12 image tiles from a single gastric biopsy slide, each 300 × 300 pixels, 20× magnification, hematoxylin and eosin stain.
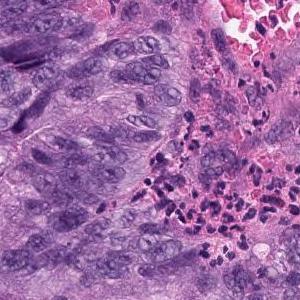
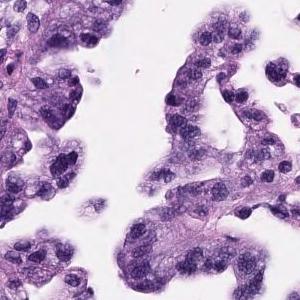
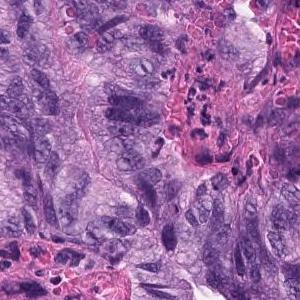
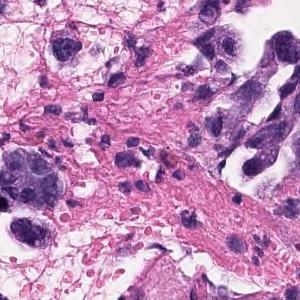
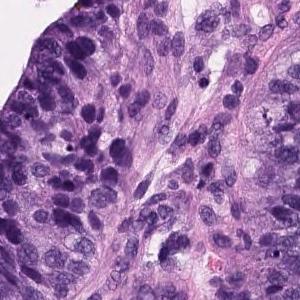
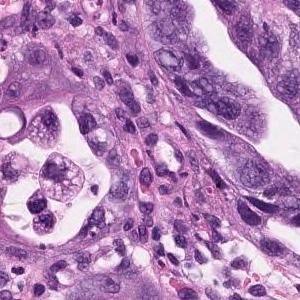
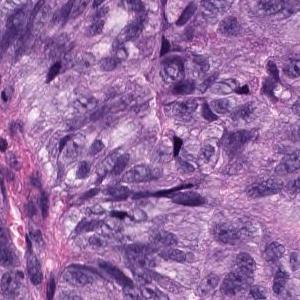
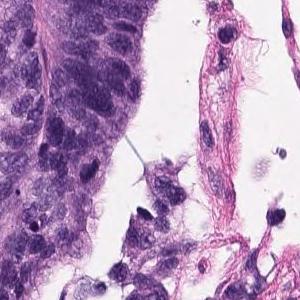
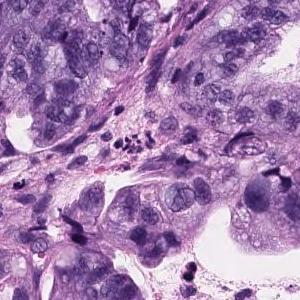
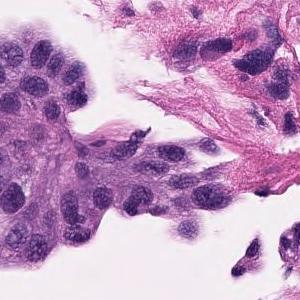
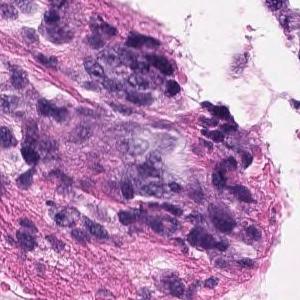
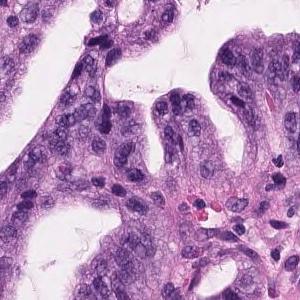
Pathology report for the slide these tiles were cut from. What the report and the diagnosis say applies to the whole slide; these tiles may miss some of the features named and may include tissue that is not tumor.
Tumor cells are large, highly columnar, large club-shaped nuclei, and are associated with chromatin aggregation. Papillary adenocarcinoma.
